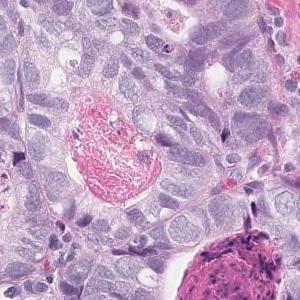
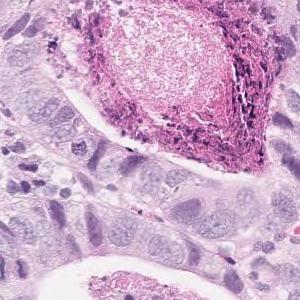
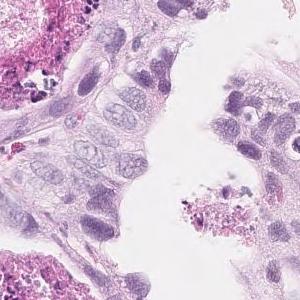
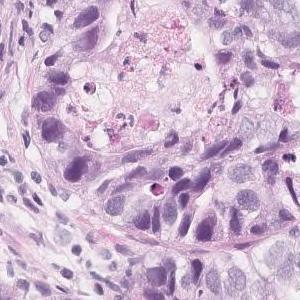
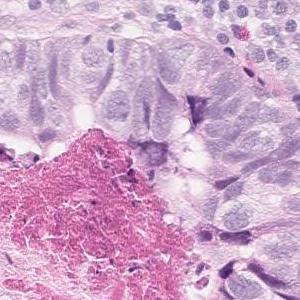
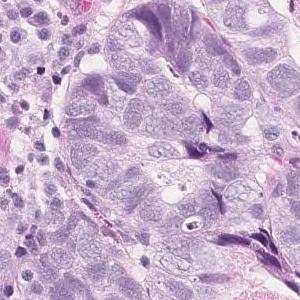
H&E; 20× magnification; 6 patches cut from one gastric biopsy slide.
Pathology report for the biopsy slide these tiles were cut from. Both the report and the diagnosis are for the whole slide: these tiles need not show every feature named, and some of the tissue shown may not be tumor.
In the superficial epithelium, tumor tissue that invades by forming medium-sized to small, irregular ducts is observed. Moderately differentiated adenocarcinoma.
Classified as moderately differentiated tubular adenocarcinoma.
